7 image tiles from a single gastric biopsy slide · ×20 · hematoxylin and eosin stain.
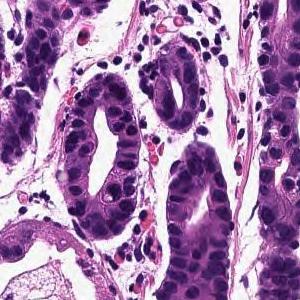
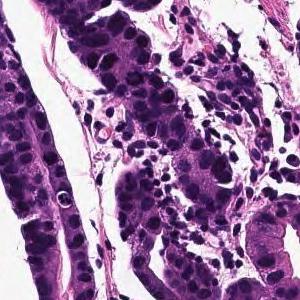
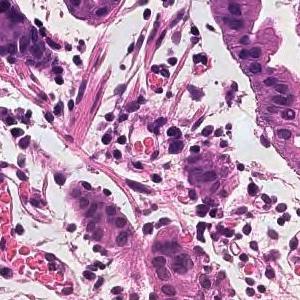
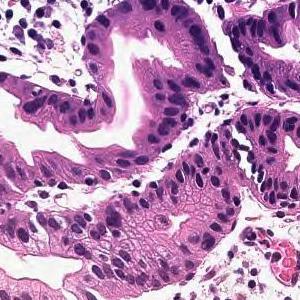
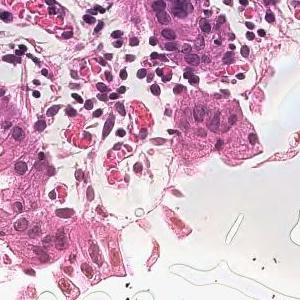
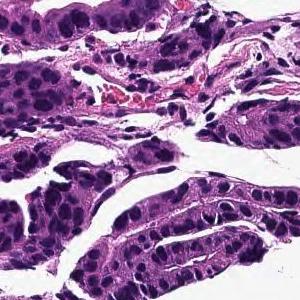
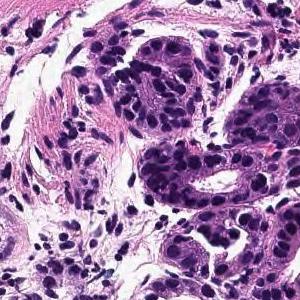
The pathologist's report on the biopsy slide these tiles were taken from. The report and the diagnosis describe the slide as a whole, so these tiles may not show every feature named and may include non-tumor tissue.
From the superficial epithelium to the muscularis mucosae, tumor tissue consisting of medium-sized and irregular glandular ducts infiltrating is observed. Well differentiated tubular adenocarcinoma
